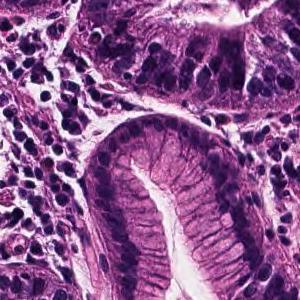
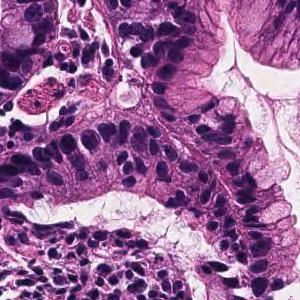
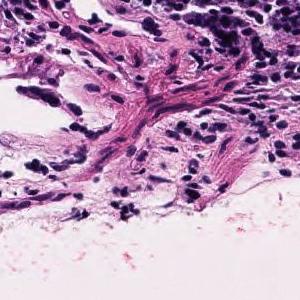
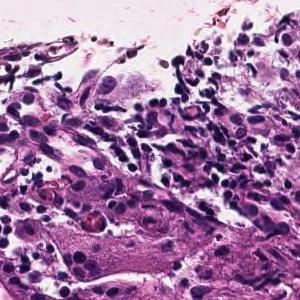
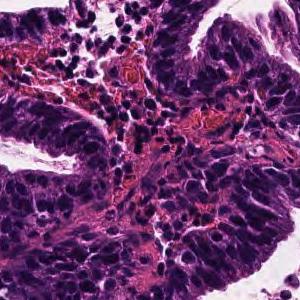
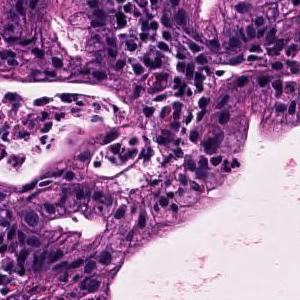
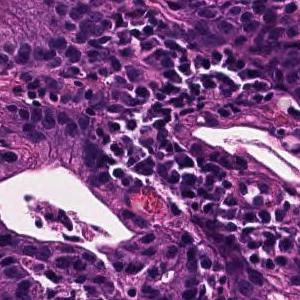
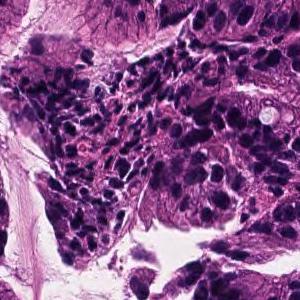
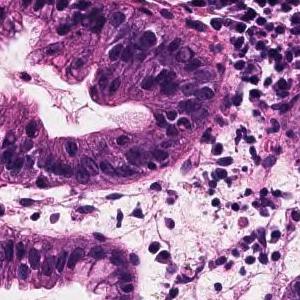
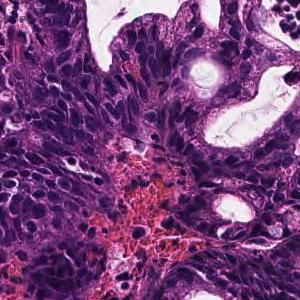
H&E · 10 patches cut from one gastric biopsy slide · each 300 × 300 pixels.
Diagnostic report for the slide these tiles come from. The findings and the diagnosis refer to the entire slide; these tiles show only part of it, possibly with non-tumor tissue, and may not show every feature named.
Tumor cells are large, highly columnar, large club-shaped nuclei, and are associated with chromatin aggregation. Papillary adenocarcinoma.
